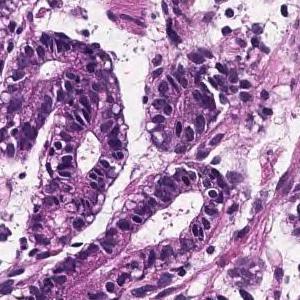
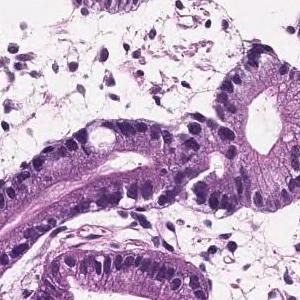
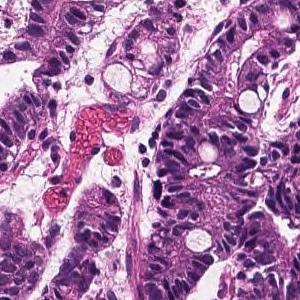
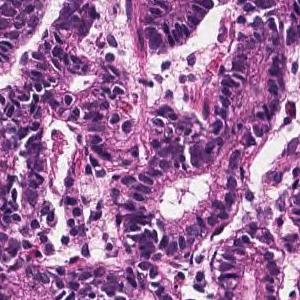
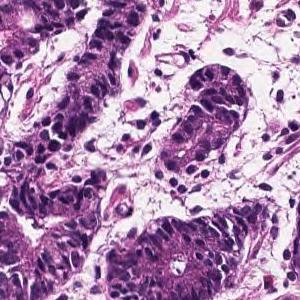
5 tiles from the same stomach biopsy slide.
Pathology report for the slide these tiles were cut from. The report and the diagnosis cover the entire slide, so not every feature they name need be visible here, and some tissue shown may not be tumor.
In the superficial epithelium, tumor tissue that invades by forming medium-sized to small, irregular ducts is observed. Well differentiated tubular adenocarcinoma.
